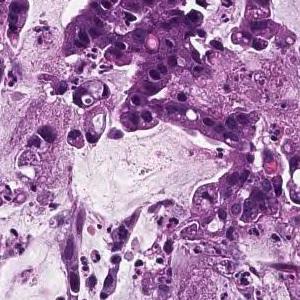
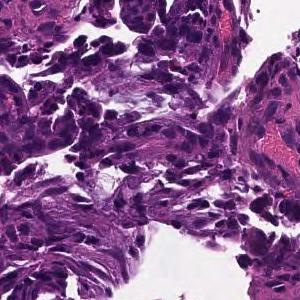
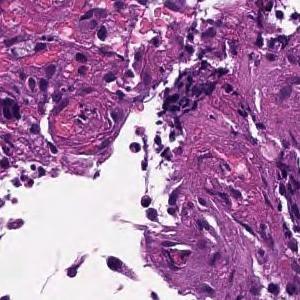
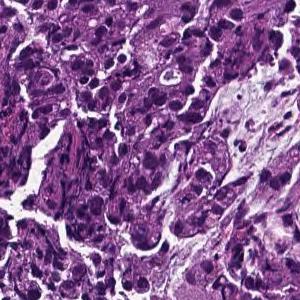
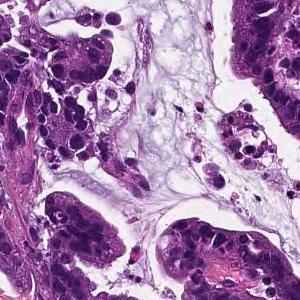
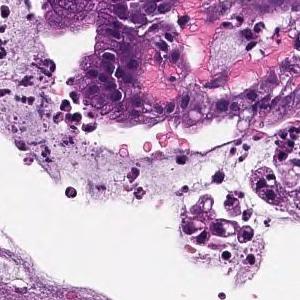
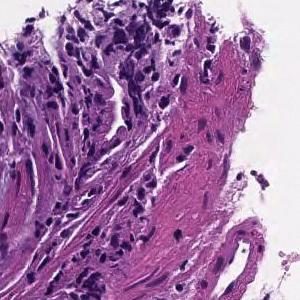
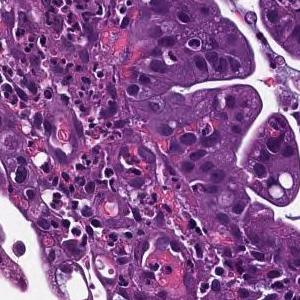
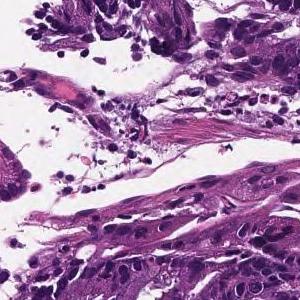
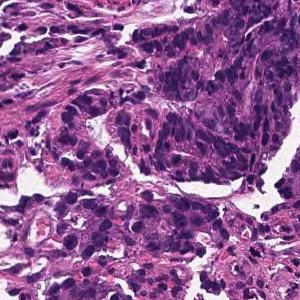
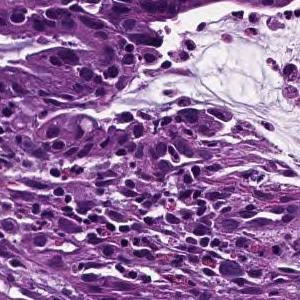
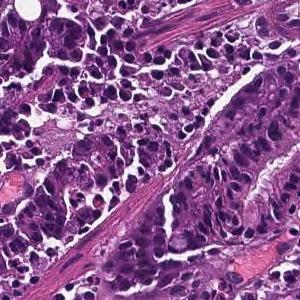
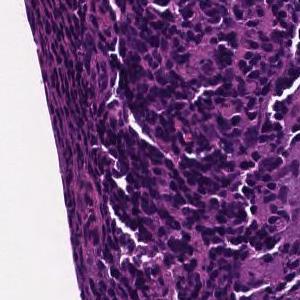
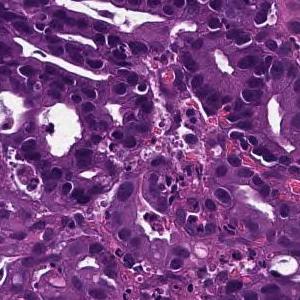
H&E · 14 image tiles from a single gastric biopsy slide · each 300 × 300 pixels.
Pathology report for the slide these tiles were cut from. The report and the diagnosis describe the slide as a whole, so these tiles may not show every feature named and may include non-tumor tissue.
On the superficial epithelium, tumor tissue consisting of large irregular glandular ducts partially fused and infiltrated is observed. Well to moderately differentiated tubular adenocarcinoma (well differentiated tubular adenocarcinoma, moderately differentiated tubular adenocarcinoma)
Tumor subtype: well to moderately differentiated tubular adenocarcinoma.
